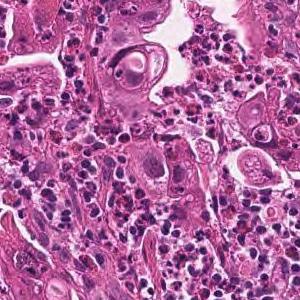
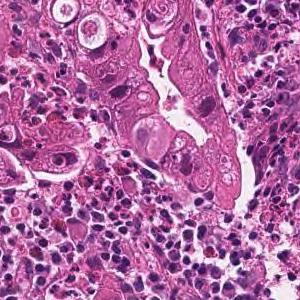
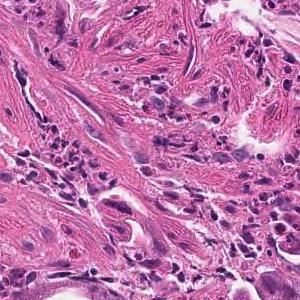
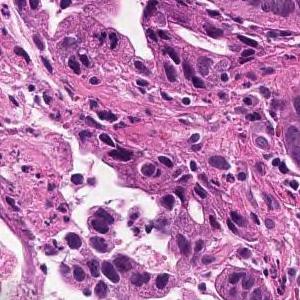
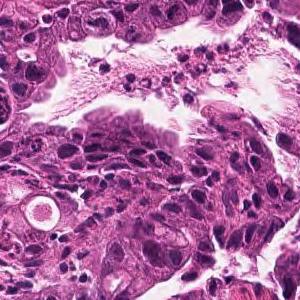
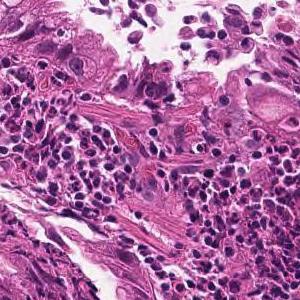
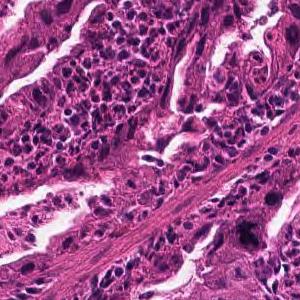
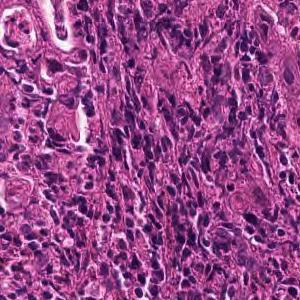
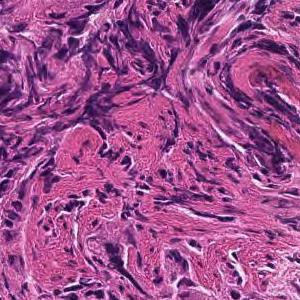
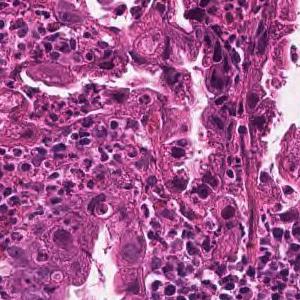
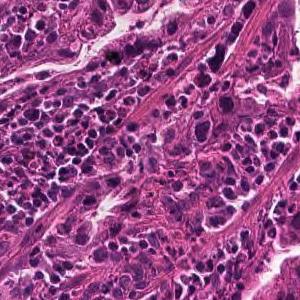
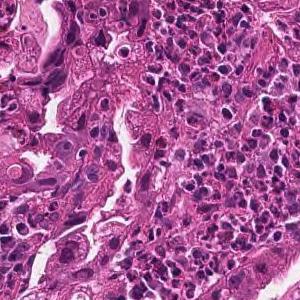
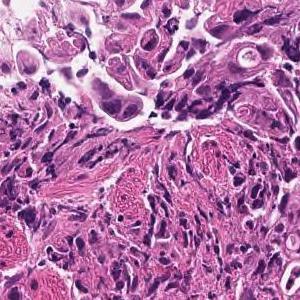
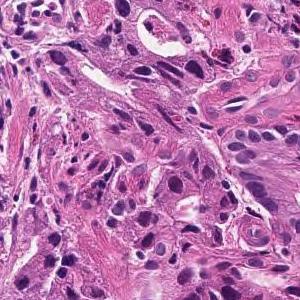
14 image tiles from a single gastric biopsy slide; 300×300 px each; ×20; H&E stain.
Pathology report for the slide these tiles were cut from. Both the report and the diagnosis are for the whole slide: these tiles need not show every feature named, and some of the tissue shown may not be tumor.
Medium to small, irregular glandular ducts are formed in the superficial epithelium, and in some cases, the glandular ducts are fused to show solid alveolar lesions and infiltrating tumor tissue is observed. Moderately to poorly differentiated adenocarcinoma.
